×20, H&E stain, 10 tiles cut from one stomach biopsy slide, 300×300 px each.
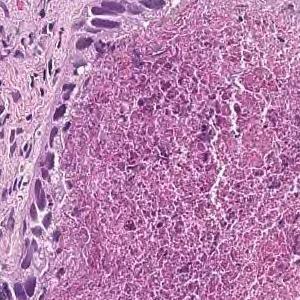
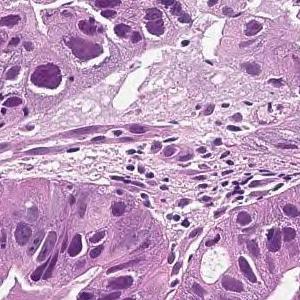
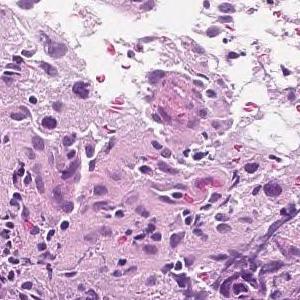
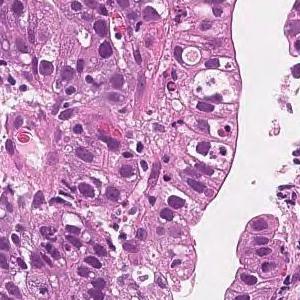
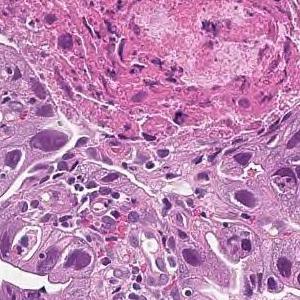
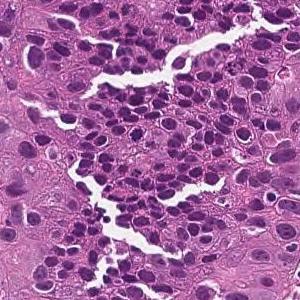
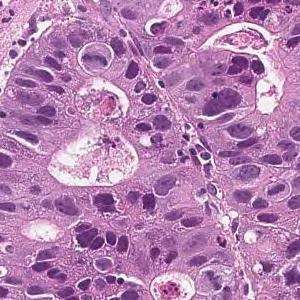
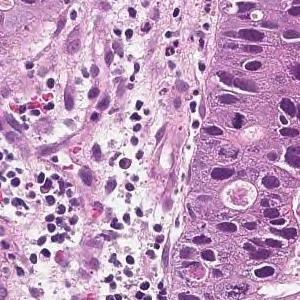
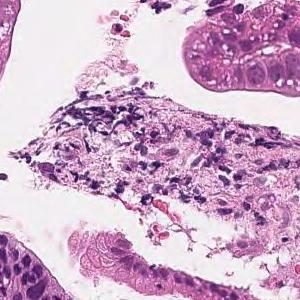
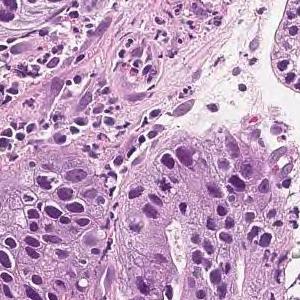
The pathologist's report on the biopsy slide these tiles were taken from. Both the report and the diagnosis are for the whole slide: these tiles need not show every feature named, and some of the tissue shown may not be tumor.
In the superficial epithelium, tumor tissue that invades by forming medium-sized to small, irregular ducts is observed. moderately differentiated tubular adenocarcinoma.
